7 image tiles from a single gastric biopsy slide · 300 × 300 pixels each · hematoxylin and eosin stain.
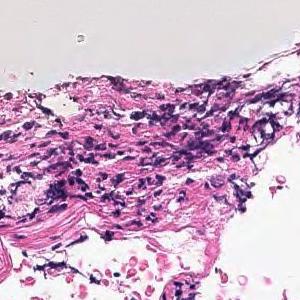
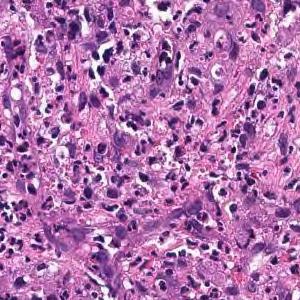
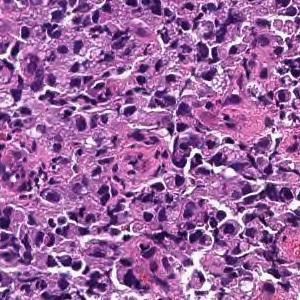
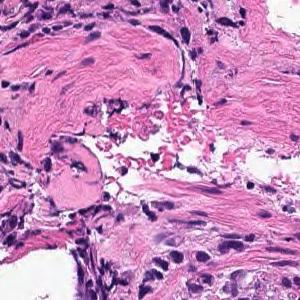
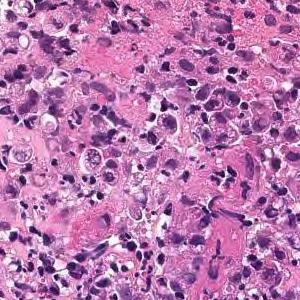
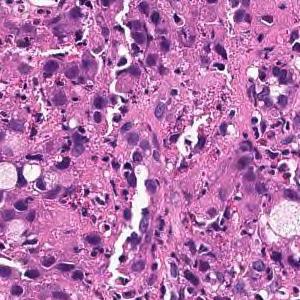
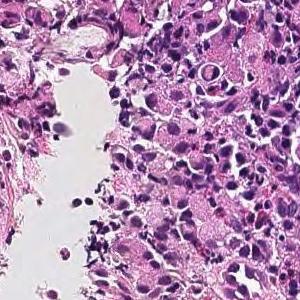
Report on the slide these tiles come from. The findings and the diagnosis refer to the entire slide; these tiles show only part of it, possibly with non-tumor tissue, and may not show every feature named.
Tumor tissue consisting of diffusely infiltrated large atypical epithelial cells or signet ring atypical cells is observed in the superficial epithelium. Poorly differentiated adenocarcinoma, solid-type
Histologic type: Poorly differentiated adenocarcinoma, solid type (Japanese Classification of Gastric Carcinoma). The WHO 2019 equivalent is tubular adenocarcinoma, poorly differentiated.
